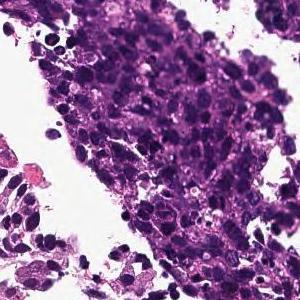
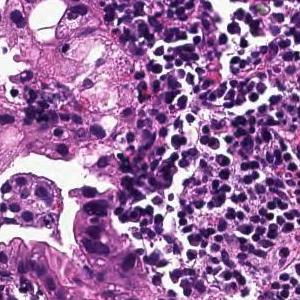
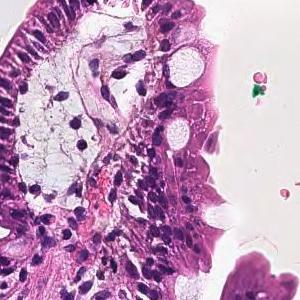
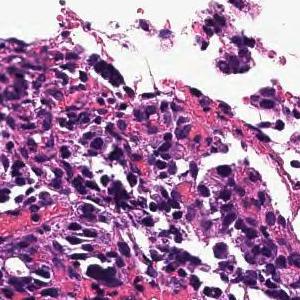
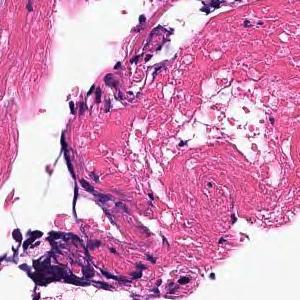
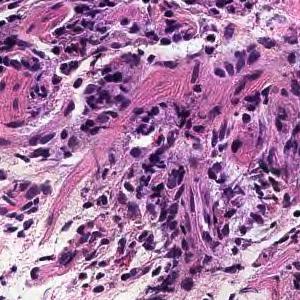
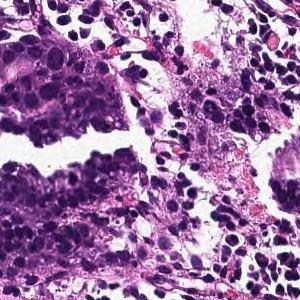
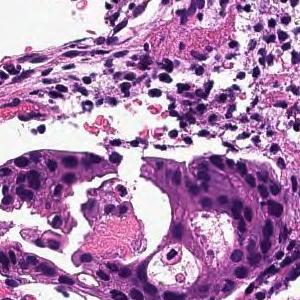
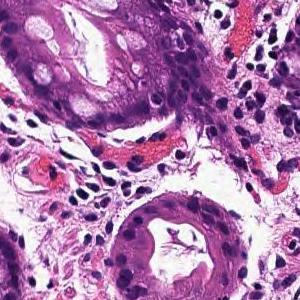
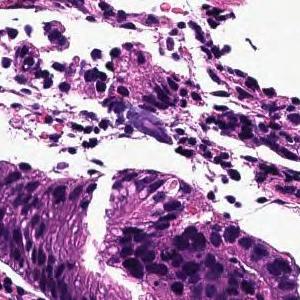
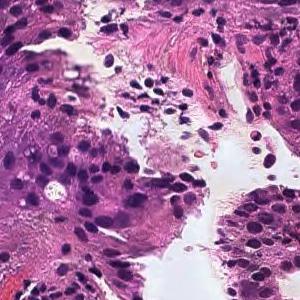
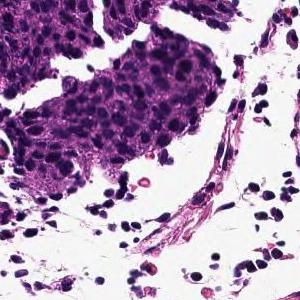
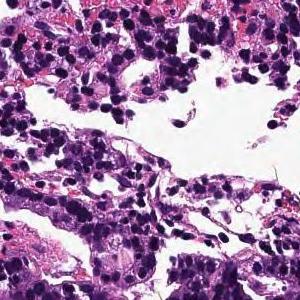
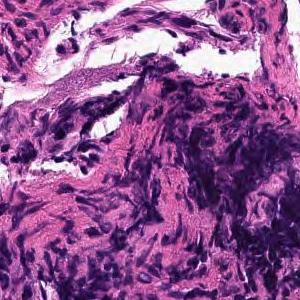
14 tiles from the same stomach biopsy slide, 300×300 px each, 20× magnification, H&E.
Pathology report for the slide these tiles were cut from. The report and the diagnosis describe the slide as a whole, so these tiles may not show every feature named and may include non-tumor tissue.
In the superficial epithelium, tumor tissue that invades by forming medium-sized to small, irregular ducts is observed. moderately differentiated tubular adenocarcinoma.
